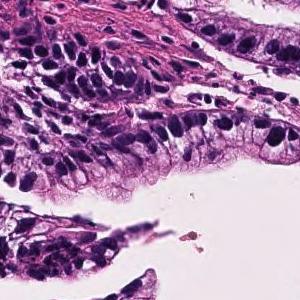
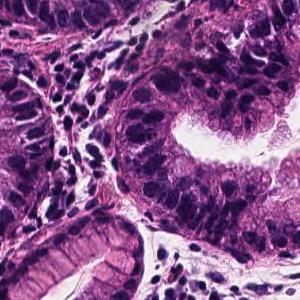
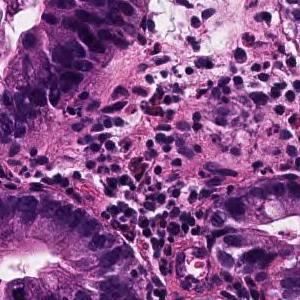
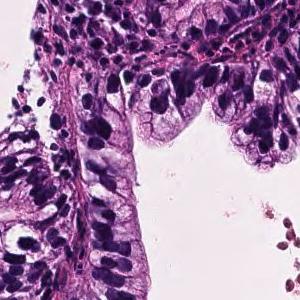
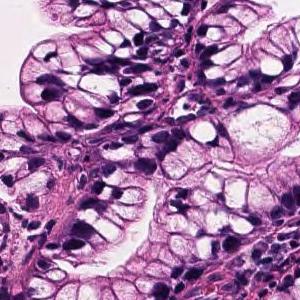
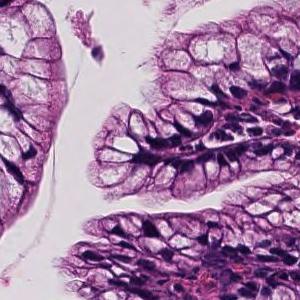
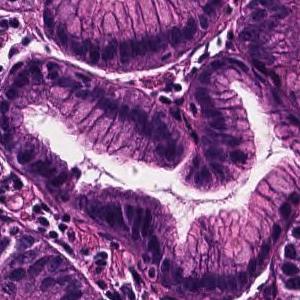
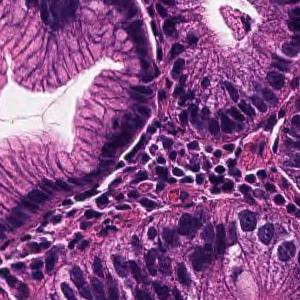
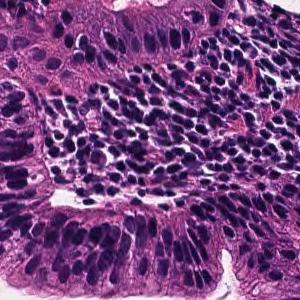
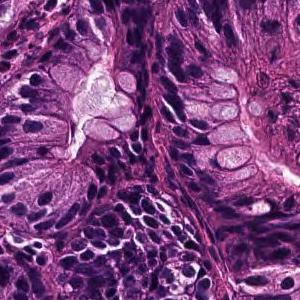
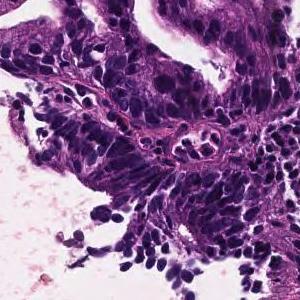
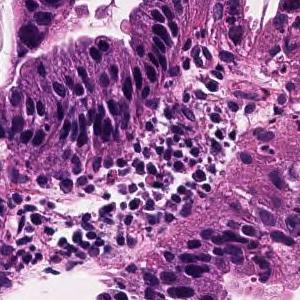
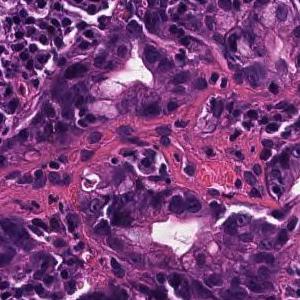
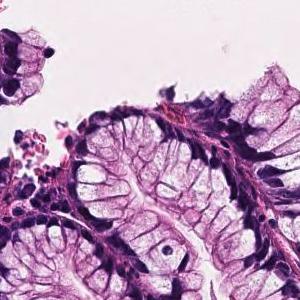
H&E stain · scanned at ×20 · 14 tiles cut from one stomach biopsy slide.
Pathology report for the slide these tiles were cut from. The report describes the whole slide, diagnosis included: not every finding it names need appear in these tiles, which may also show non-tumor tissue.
Tumor cells are large, highly columnar, large club-shaped nuclei, and are associated with chromatin aggregation. Papillary adenocarcinoma.
